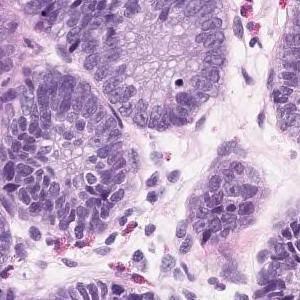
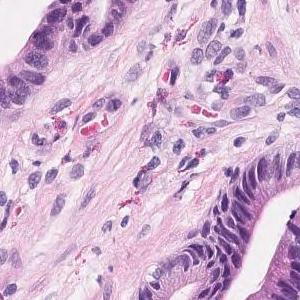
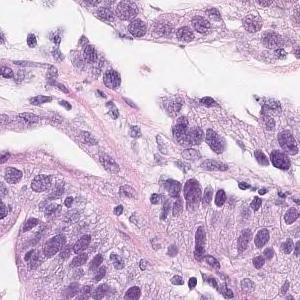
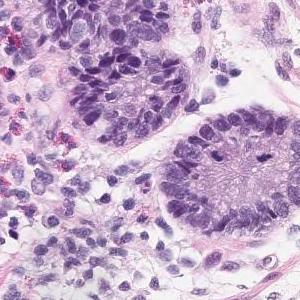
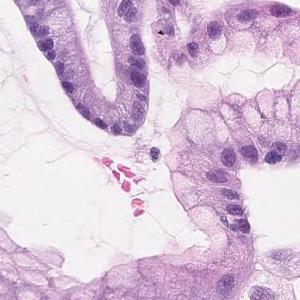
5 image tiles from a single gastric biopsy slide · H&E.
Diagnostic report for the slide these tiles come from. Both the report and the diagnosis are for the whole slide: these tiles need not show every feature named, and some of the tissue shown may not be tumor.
Short atypical epithelium with swelling of the nucleus shows proliferating, large and small irregular ductal structures. Well to moderately differentiated tubular adenocarcinoma (well differentiated tubular adenocarcinoma-moderately differentiated tubular adenocarcinoma)
Histological subtype: Well to moderately differentiated tubular adenocarcinoma.
